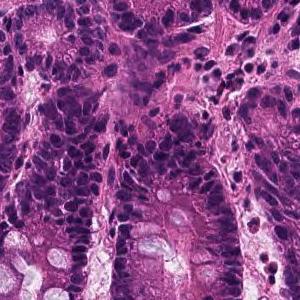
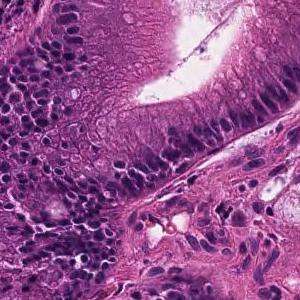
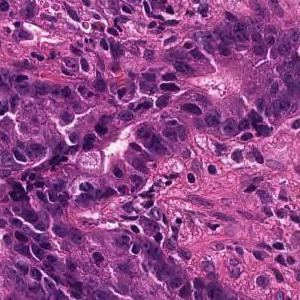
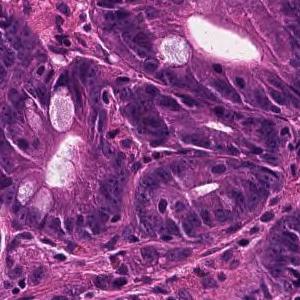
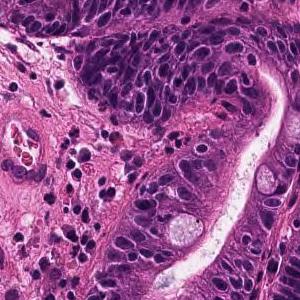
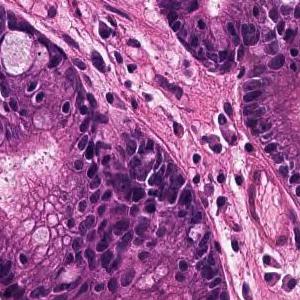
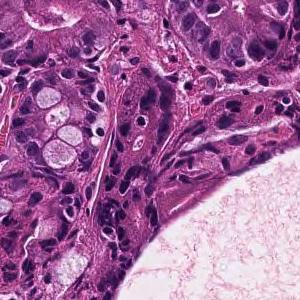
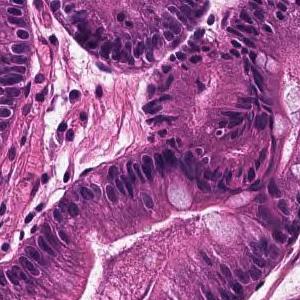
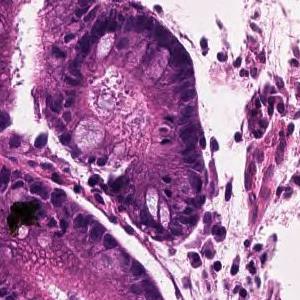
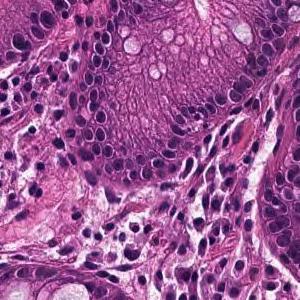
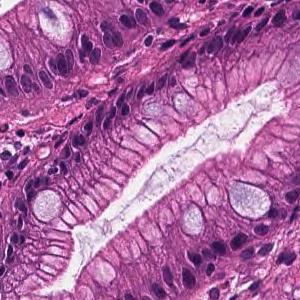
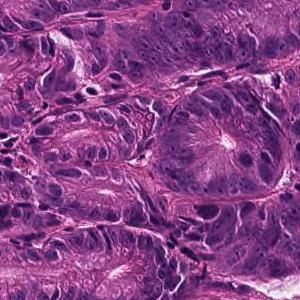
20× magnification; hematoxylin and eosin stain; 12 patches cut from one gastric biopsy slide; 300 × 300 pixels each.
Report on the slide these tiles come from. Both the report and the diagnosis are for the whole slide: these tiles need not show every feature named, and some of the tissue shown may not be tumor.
Medium to small, irregular glandular ducts are formed in the superficial epithelium, and in some cases, the glandular ducts are fused to show solid alveolar lesions and infiltrating tumor tissue is observed. Moderately to poorly differentiated adenocarcinoma.
